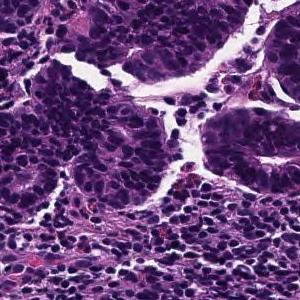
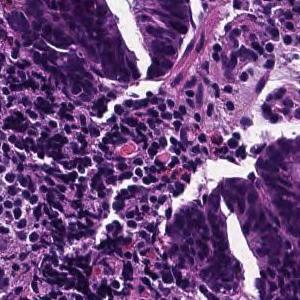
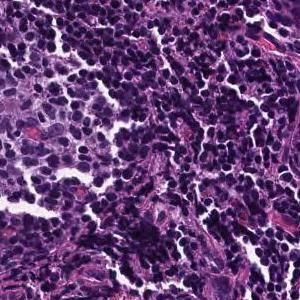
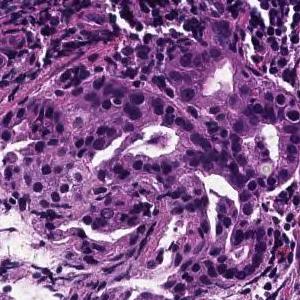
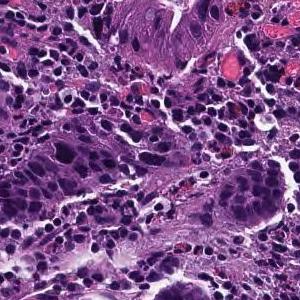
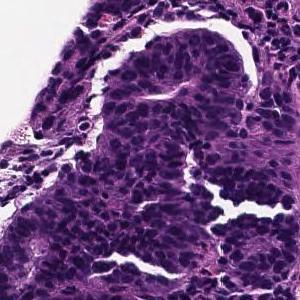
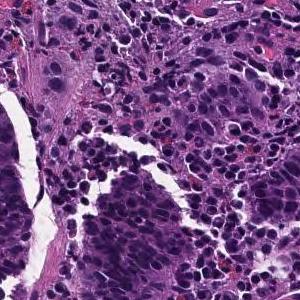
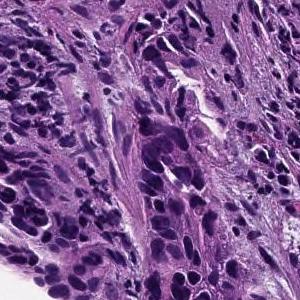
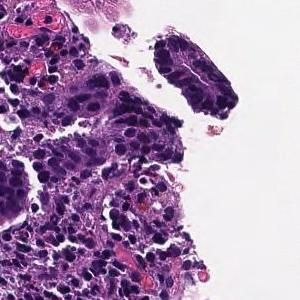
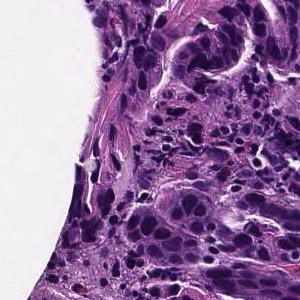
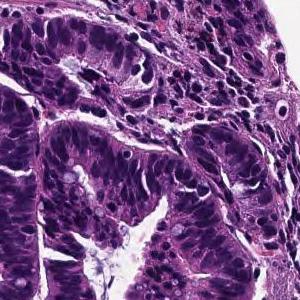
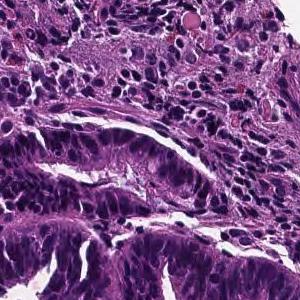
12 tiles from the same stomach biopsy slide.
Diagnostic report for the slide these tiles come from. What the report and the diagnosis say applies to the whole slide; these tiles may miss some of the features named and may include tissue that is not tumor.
From the superficial epithelium to the muscularis mucosae, tumor tissue consisting of medium-sized and irregular glandular ducts infiltrating is observed. Well differentiated tubular adenocarcinoma
